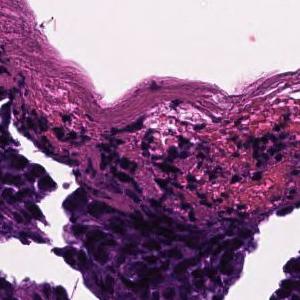
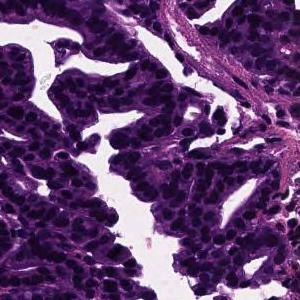
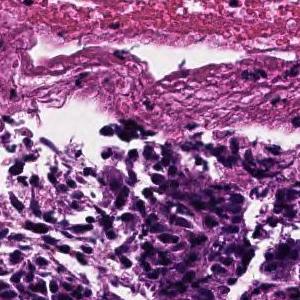
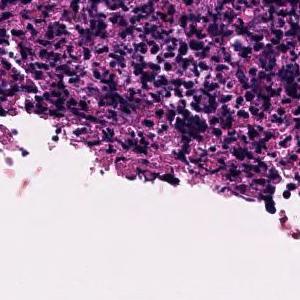
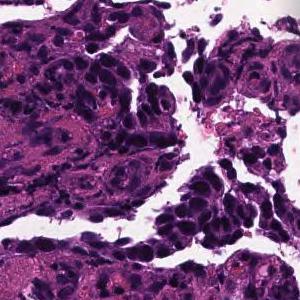
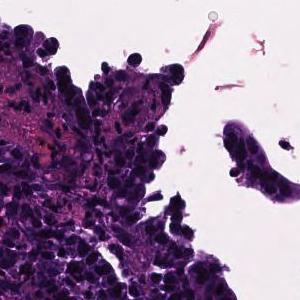
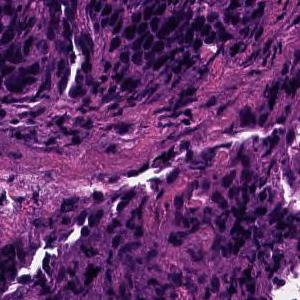
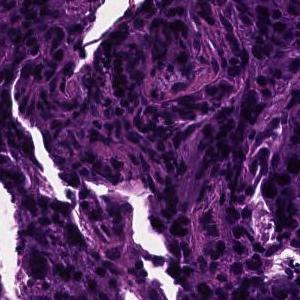
8 image tiles from a single gastric biopsy slide; 300 × 300 pixels each.
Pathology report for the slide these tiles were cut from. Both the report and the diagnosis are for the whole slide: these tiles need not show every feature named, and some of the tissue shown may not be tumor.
In the superficial epithelium, tumor tissue that invades by forming medium-sized to small, irregular ducts is observed. moderately differentiated tubular adenocarcinoma.
